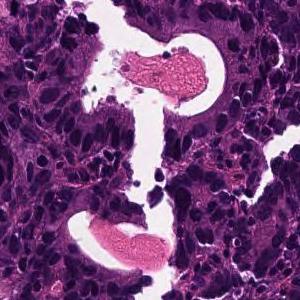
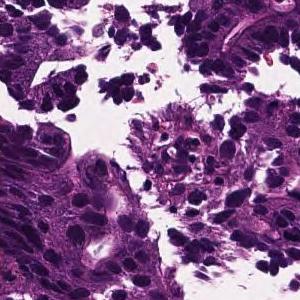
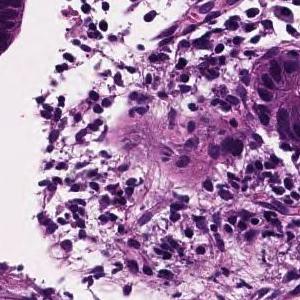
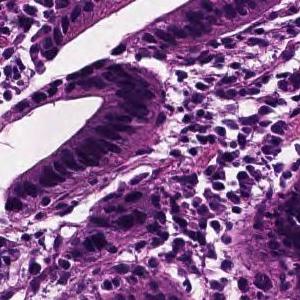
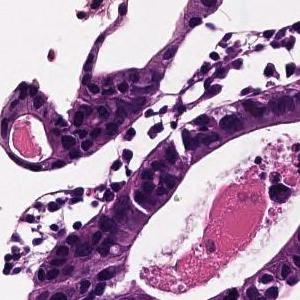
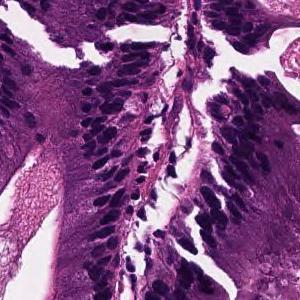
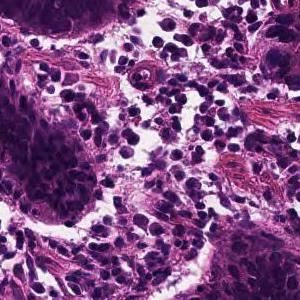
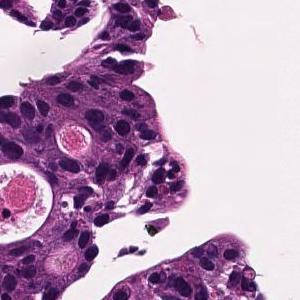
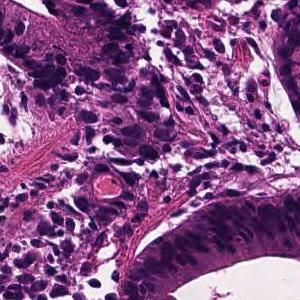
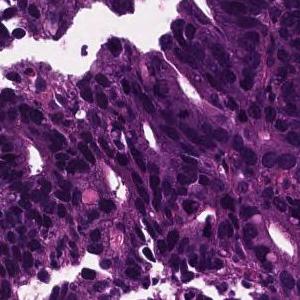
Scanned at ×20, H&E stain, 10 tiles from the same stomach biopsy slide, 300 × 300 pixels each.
Pathology report for the slide these tiles were cut from. What the report and the diagnosis say applies to the whole slide; these tiles may miss some of the features named and may include tissue that is not tumor.
In the superficial epithelium, tumor tissue that invades by forming medium-sized to small, irregular ducts is observed. moderately differentiated tubular adenocarcinoma.
